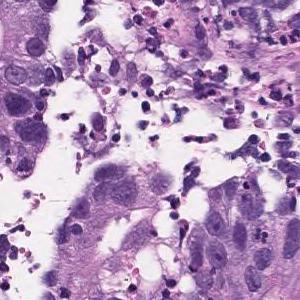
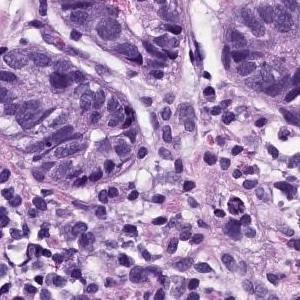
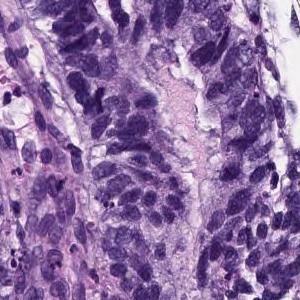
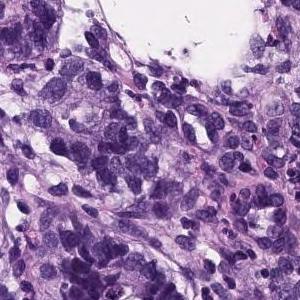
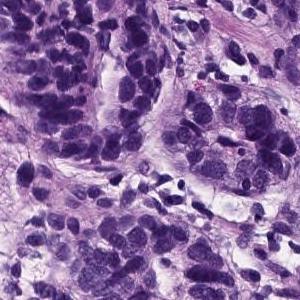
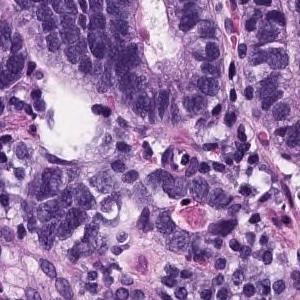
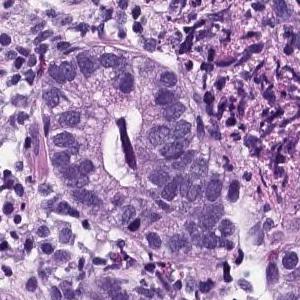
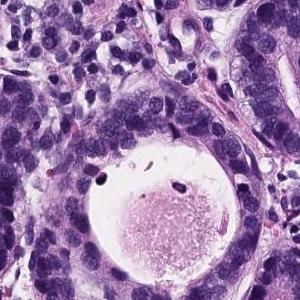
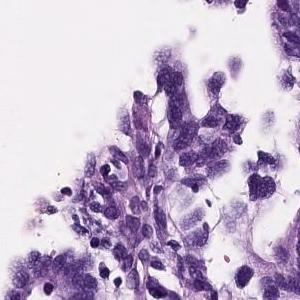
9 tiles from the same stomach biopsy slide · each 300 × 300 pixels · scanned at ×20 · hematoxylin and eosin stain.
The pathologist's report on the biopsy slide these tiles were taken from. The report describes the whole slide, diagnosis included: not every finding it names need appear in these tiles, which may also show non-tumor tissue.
On the superficial epithelium, tumor tissue consisting of large, irregular glandular ducts partially fused and infiltrated is observed. Well to moderately differentiated tubular adenocarcinoma (well differentiated tubular adenocarcinoma, moderately differentiated tubular adenocarcinoma)
The dataset labels this slide well differentiated tubular adenocarcinoma.
